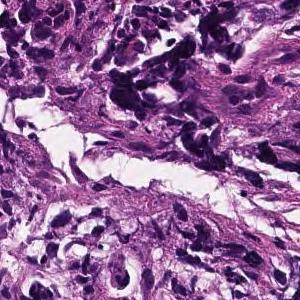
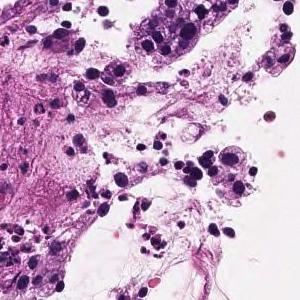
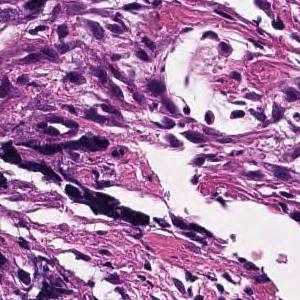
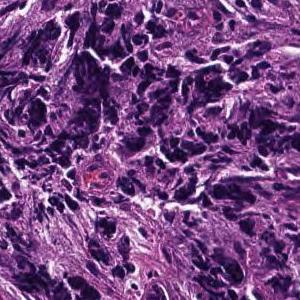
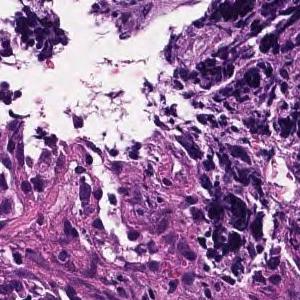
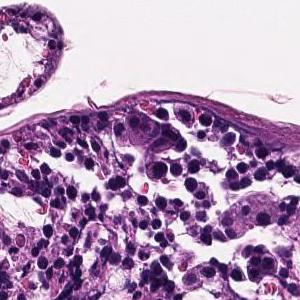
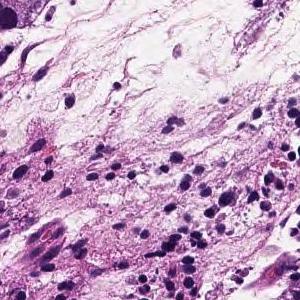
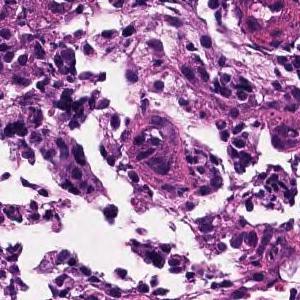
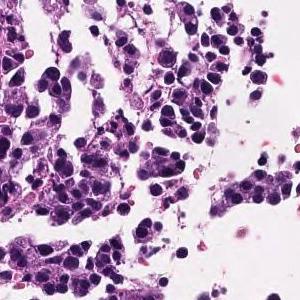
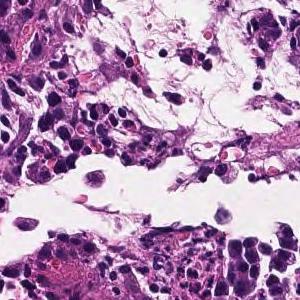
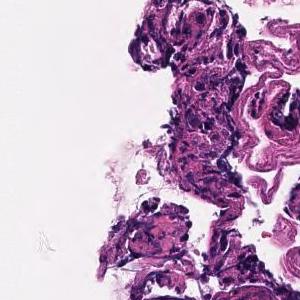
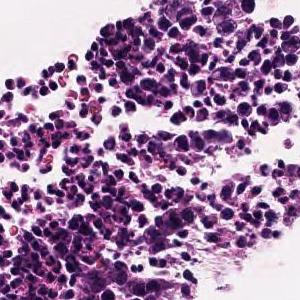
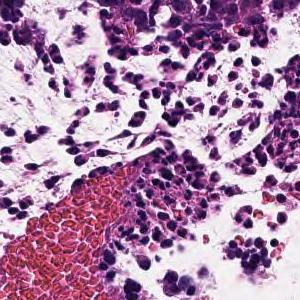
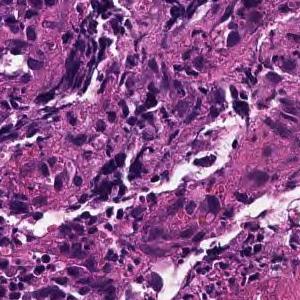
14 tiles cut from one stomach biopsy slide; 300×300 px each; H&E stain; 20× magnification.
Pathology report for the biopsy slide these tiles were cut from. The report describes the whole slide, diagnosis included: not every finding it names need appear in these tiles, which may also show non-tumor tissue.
The superficial epithelium shows a large sheet-like shape, and some tumor tissue infiltrates with small irregular ducts. Poorly differentiated adenocarcinoma, solid-type
Histological subtype: Poorly differentiated adenocarcinoma, solid type (Japanese Classification of Gastric Carcinoma). The WHO 2019 equivalent is tubular adenocarcinoma, poorly differentiated.
